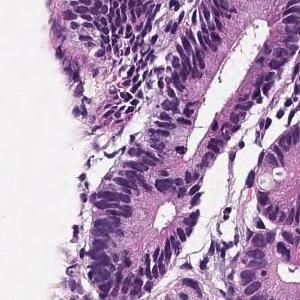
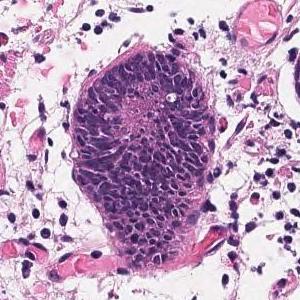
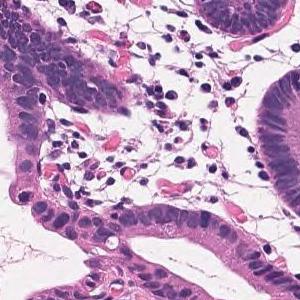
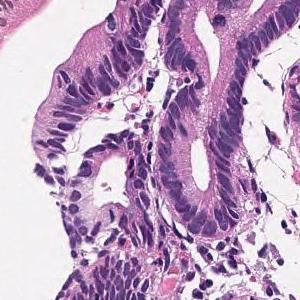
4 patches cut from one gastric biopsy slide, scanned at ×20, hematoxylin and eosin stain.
Diagnostic report for the slide these tiles come from. The report and the diagnosis describe the slide as a whole, so these tiles may not show every feature named and may include non-tumor tissue.
Tumor tissue in which medium to small irregular ducts infiltrate and proliferate in the submucosa can be seen in the epithelium. Well differentiated tubular adenocarcinoma
